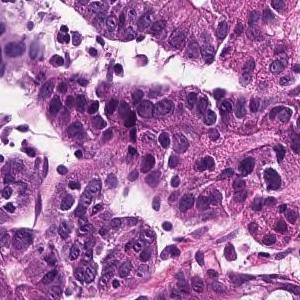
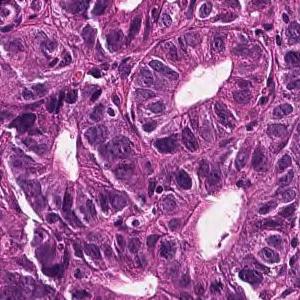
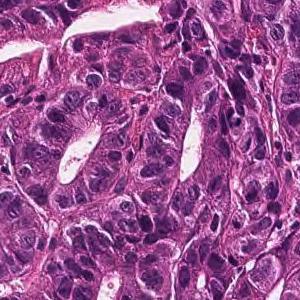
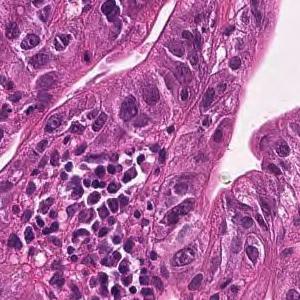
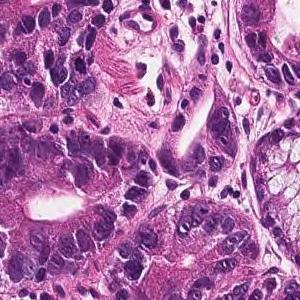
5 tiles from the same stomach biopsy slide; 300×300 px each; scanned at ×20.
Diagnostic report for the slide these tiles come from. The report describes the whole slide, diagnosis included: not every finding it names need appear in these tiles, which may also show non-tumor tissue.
In the superficial epithelium, tumor tissue that invades by forming medium-sized to small, irregular ducts is observed. moderately differentiated tubular adenocarcinoma.
